×20; 16 image tiles from a single gastric biopsy slide.
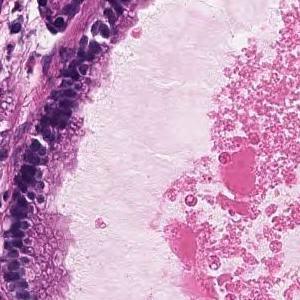
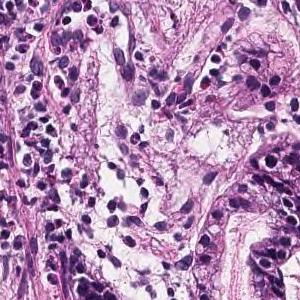
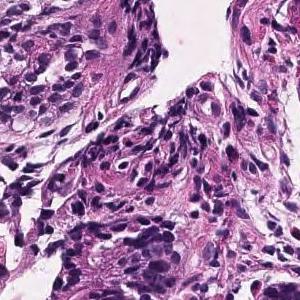
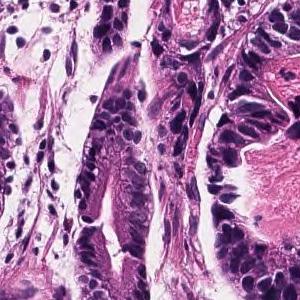
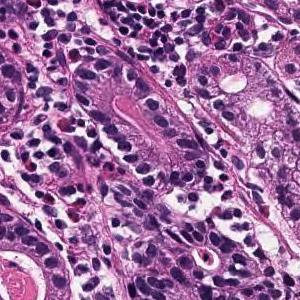
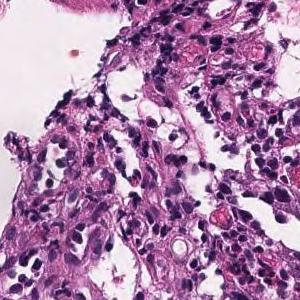
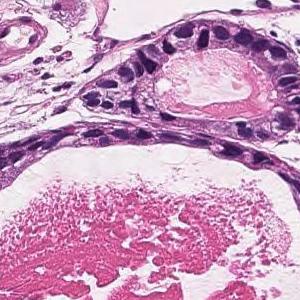
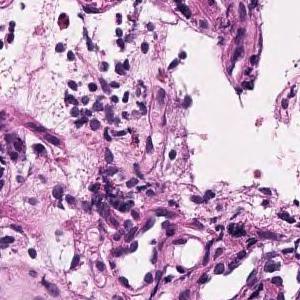
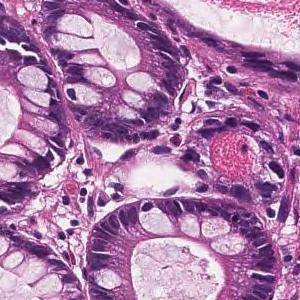
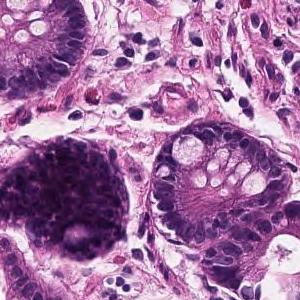
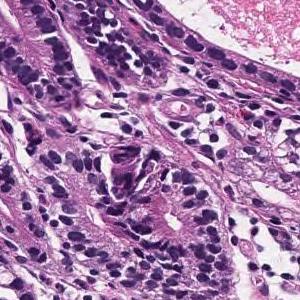
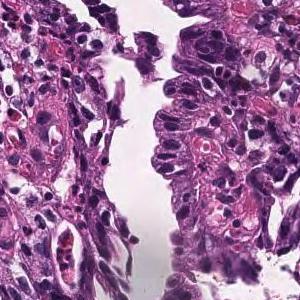
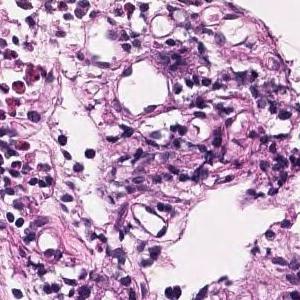
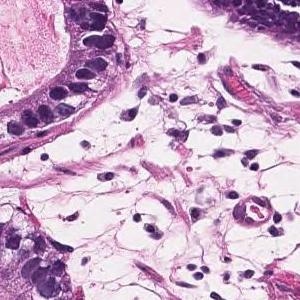
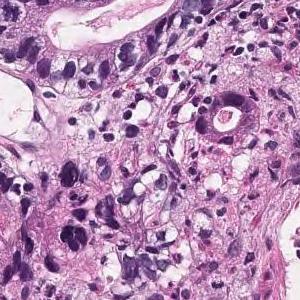
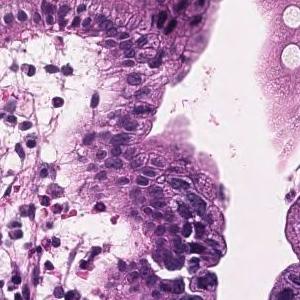
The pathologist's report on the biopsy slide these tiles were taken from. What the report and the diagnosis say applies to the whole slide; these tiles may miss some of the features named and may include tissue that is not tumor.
Tumor tissue consisting of medium-sized and irregular ducts is observed infiltrating in the superficial epithelium. Tumor cells are highly columnar, with nuclei aligned basolaterally and polarized. Well differentiated tubular adenocarcinoma.
